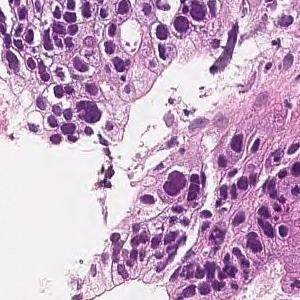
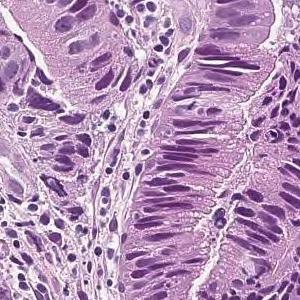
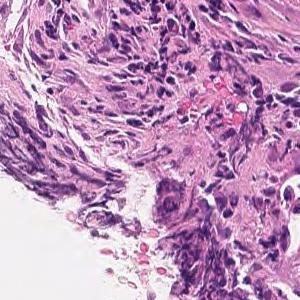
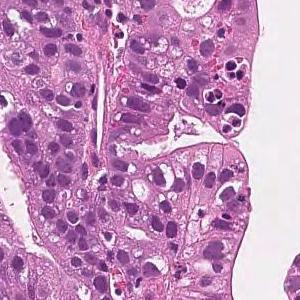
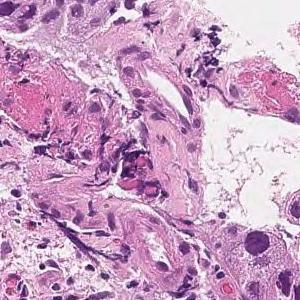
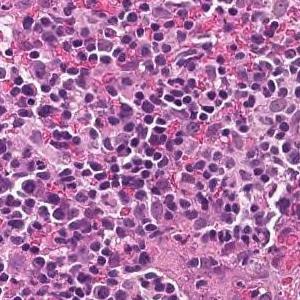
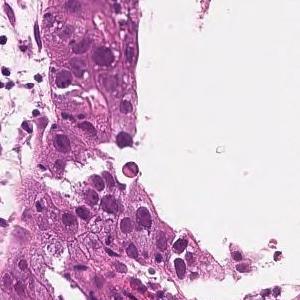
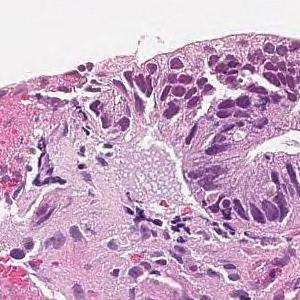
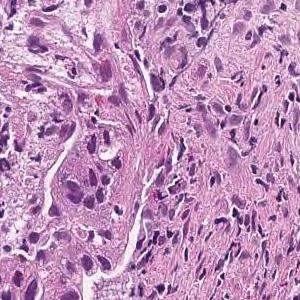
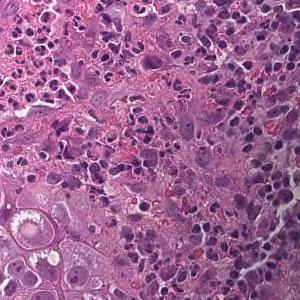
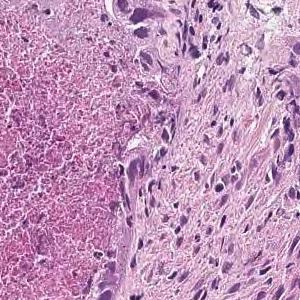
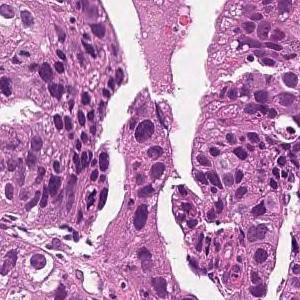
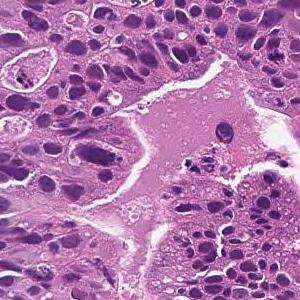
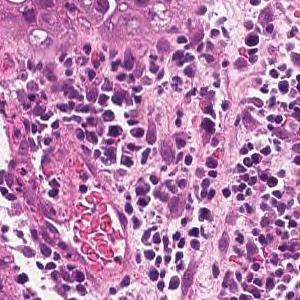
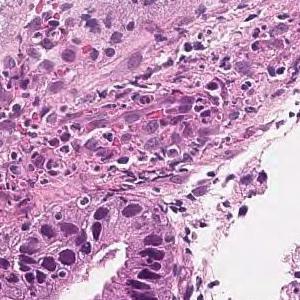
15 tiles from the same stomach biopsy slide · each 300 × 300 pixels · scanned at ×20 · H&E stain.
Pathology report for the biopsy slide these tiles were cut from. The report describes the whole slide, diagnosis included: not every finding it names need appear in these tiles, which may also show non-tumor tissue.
In the superficial epithelium, tumor tissue that invades by forming medium-sized to small, irregular ducts is observed. moderately differentiated tubular adenocarcinoma.
